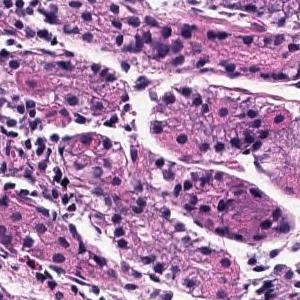
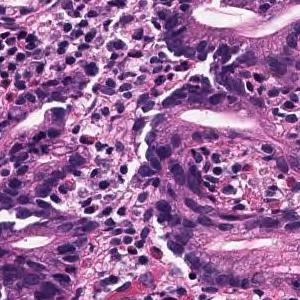
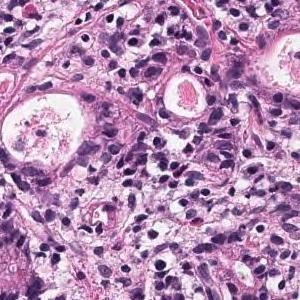
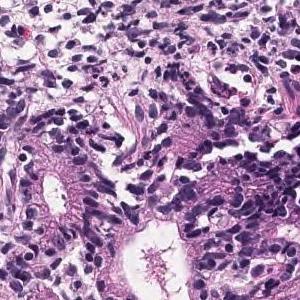
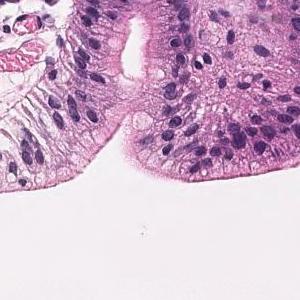
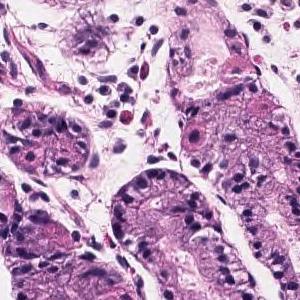
20× magnification · hematoxylin and eosin stain · 6 tiles from the same stomach biopsy slide · 300×300 px each.
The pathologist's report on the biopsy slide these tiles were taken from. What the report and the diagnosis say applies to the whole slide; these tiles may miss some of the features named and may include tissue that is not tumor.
Tumor tissue that grows and grows is observed, showing a medium-sized round or irregular duct. moderately differentiated tubular adenocarcinoma
